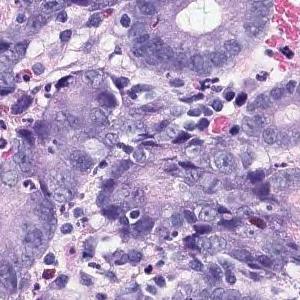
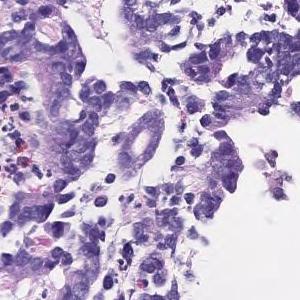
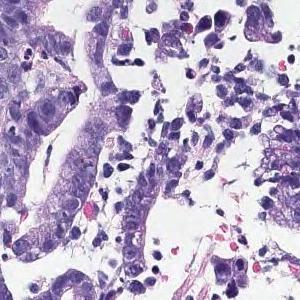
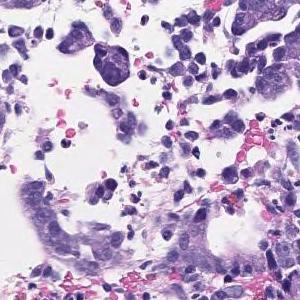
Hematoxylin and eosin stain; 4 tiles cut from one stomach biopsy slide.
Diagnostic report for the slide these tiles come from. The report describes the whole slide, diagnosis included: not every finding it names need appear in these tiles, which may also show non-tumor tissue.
In the superficial epithelium, tumor tissue that invades by forming medium-sized to small, irregular ducts is observed. Moderately differentiated adenocarcinoma.
Histologic type: Moderately differentiated tubular adenocarcinoma.
